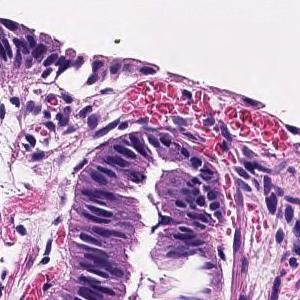
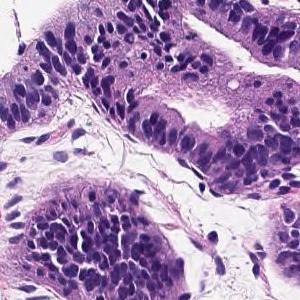
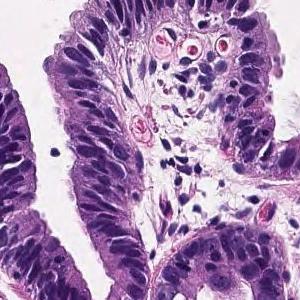
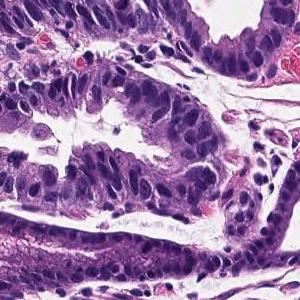
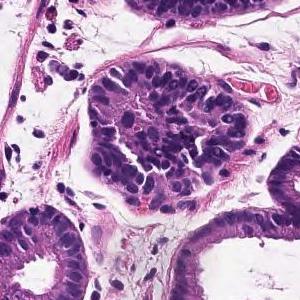
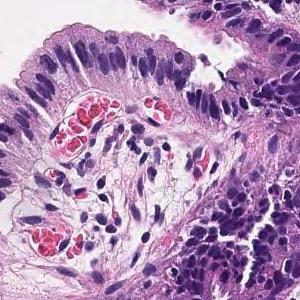
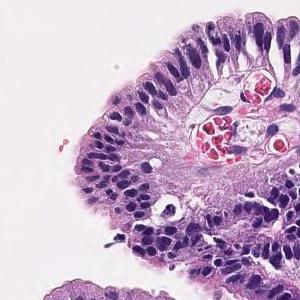
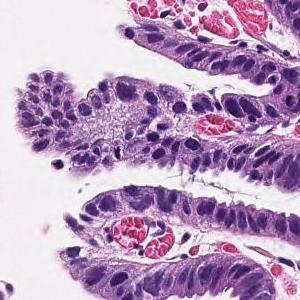
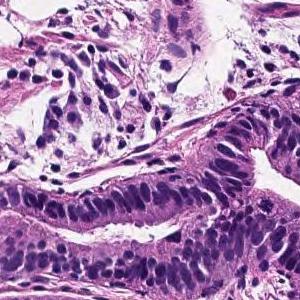
Scanned at ×20 · H&E stain · 9 tiles cut from one stomach biopsy slide.
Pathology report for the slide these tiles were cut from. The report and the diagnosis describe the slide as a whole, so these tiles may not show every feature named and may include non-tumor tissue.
Tumor cells are large, highly columnar, large club-shaped nuclei, and are associated with chromatin aggregation. Papillary adenocarcinoma.
